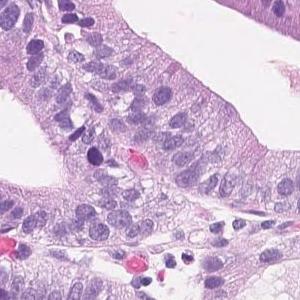
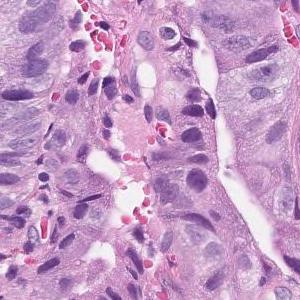
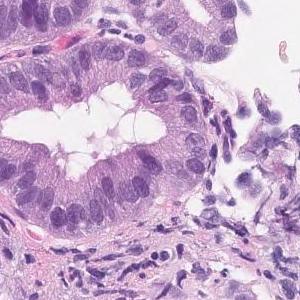
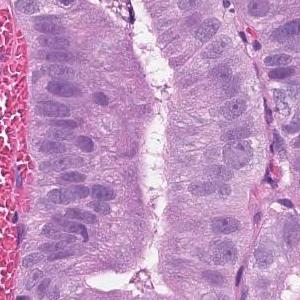
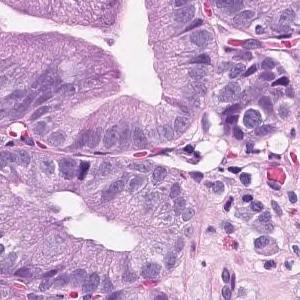
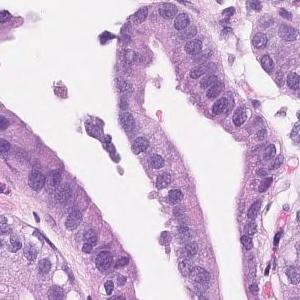
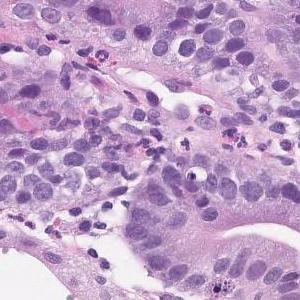
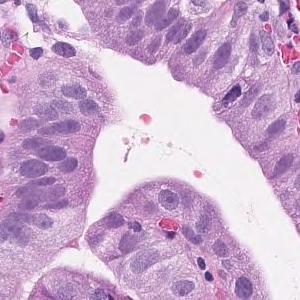
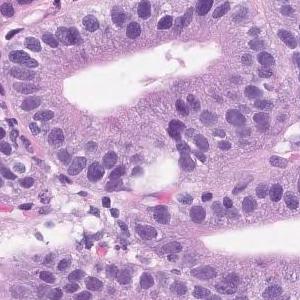
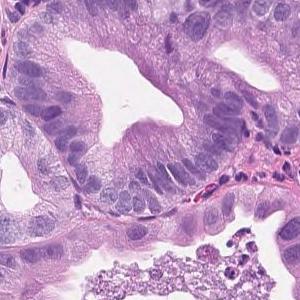
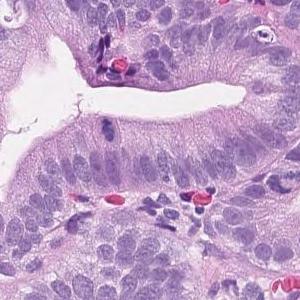
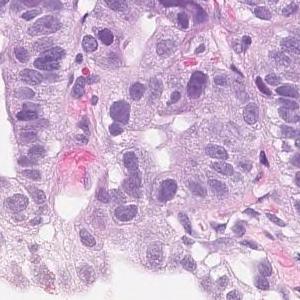
Scanned at ×20; 12 image tiles from a single gastric biopsy slide; each 300 × 300 pixels.
Diagnostic report for the slide these tiles come from. What the report and the diagnosis say applies to the whole slide; these tiles may miss some of the features named and may include tissue that is not tumor.
Tumor tissue consisting of medium-sized and irregular ducts is observed infiltrating in the superficial epithelium. Tumor cells are highly columnar, with nuclei aligned basolaterally and polarized. Well differentiated tubular adenocarcinoma.
